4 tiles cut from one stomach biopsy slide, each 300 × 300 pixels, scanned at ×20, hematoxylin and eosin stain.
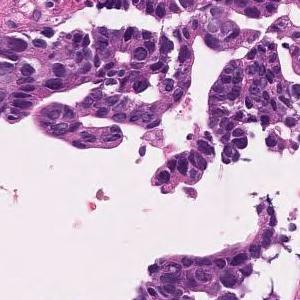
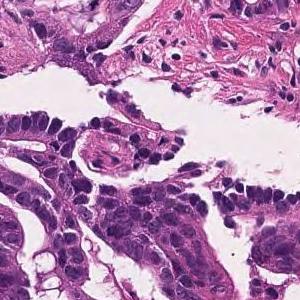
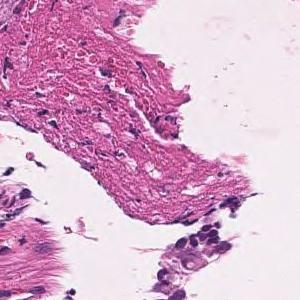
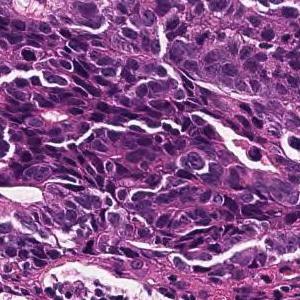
The pathologist's report on the biopsy slide these tiles were taken from. The report and the diagnosis describe the slide as a whole, so these tiles may not show every feature named and may include non-tumor tissue.
In the superficial epithelium, tumor tissue that invades by forming medium-sized to small, irregular ducts is observed. moderately differentiated tubular adenocarcinoma.
